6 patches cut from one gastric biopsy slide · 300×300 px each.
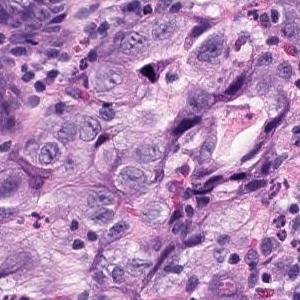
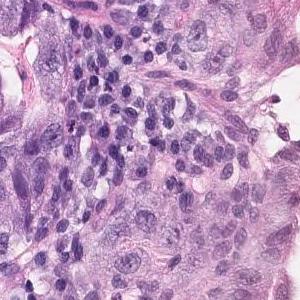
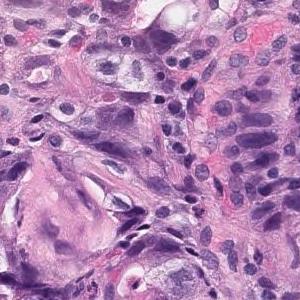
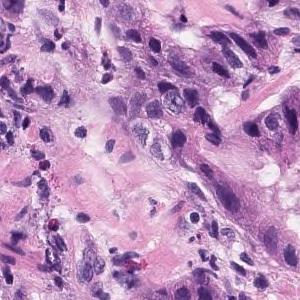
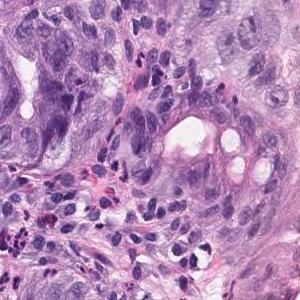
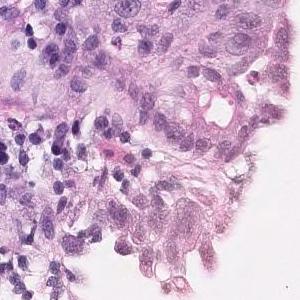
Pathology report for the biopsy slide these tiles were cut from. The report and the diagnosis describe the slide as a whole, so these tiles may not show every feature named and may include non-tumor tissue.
In the superficial epithelium, tumor tissue that invades by forming medium-sized to small irregular glandular ducts is observed. Moderately differentiated adenocarcinoma.
Classified as moderately differentiated tubular adenocarcinoma.
